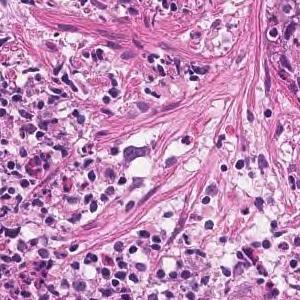
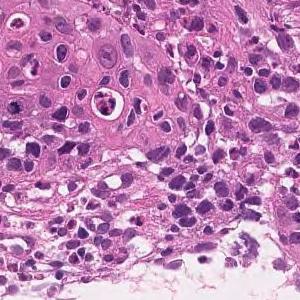
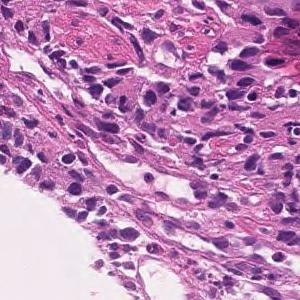
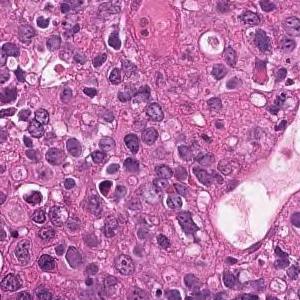
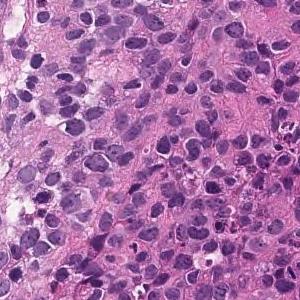
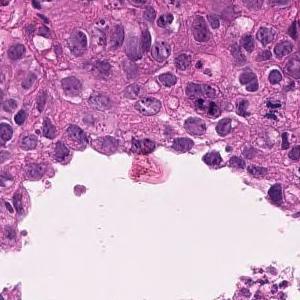
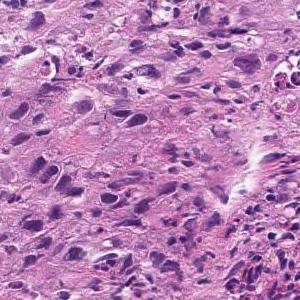
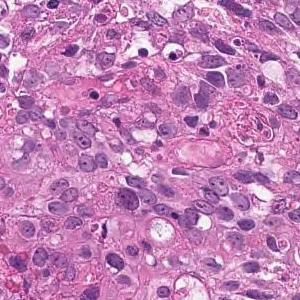
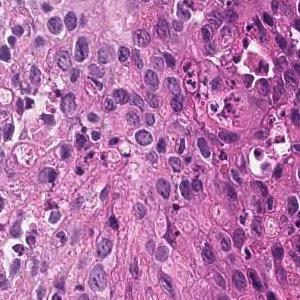
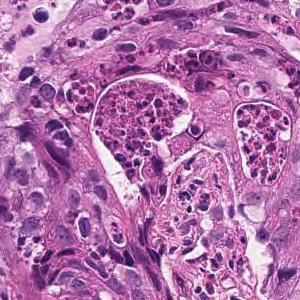
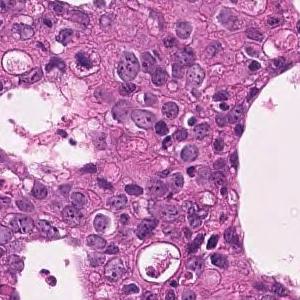
11 patches cut from one gastric biopsy slide, each 300 × 300 pixels, H&E stain, ×20.
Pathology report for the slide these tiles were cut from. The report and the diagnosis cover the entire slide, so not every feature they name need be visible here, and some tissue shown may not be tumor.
The superficial epithelium shows a large sheet-like shape, and some tumor tissue infiltrates with small irregular ducts. Poorly differentiated adenocarcinoma, solid-type
Classified as poorly differentiated adenocarcinoma, solid type. This name comes from the Japanese Classification of Gastric Carcinoma; the WHO 2019 classification calls it tubular adenocarcinoma, poorly differentiated.
